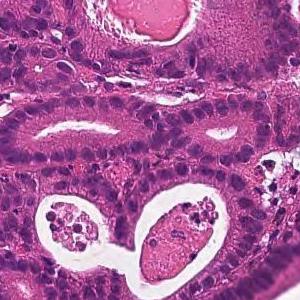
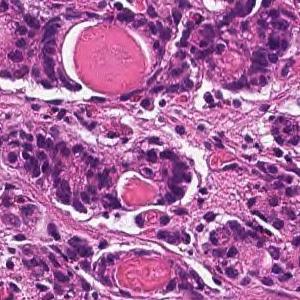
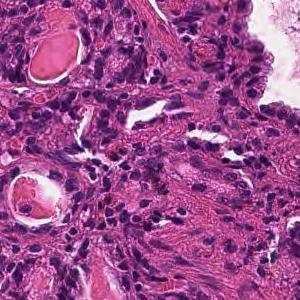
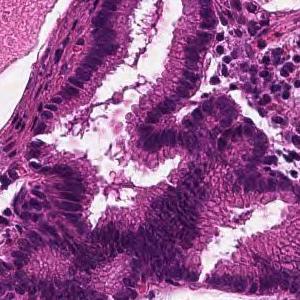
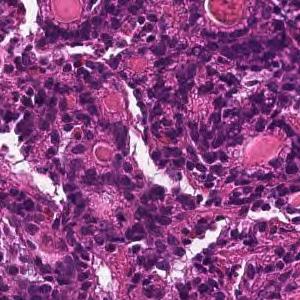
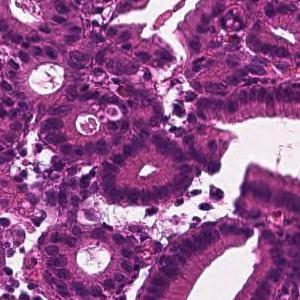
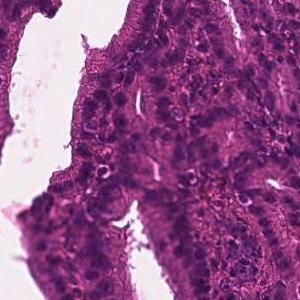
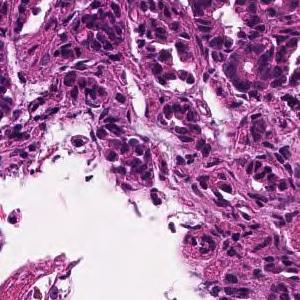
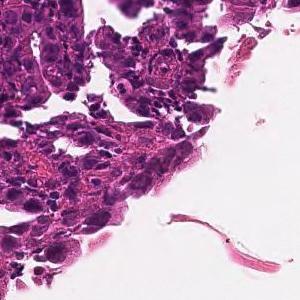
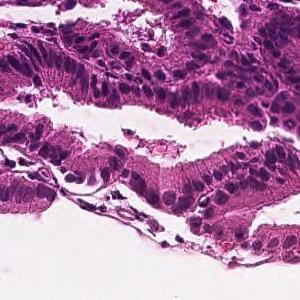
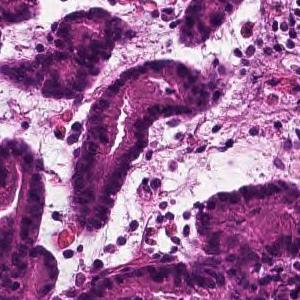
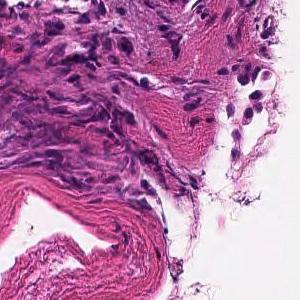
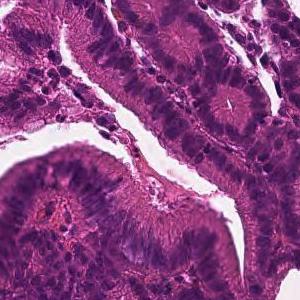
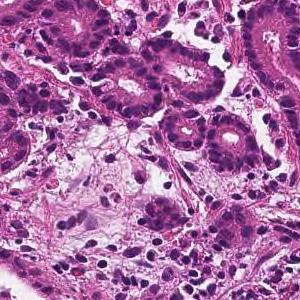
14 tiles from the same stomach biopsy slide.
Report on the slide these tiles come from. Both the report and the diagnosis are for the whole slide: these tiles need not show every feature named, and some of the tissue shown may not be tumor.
From the superficial epithelium to the muscularis mucosae, tumor tissue consisting of medium-sized and irregular glandular ducts infiltrating is observed. Well differentiated tubular adenocarcinoma
